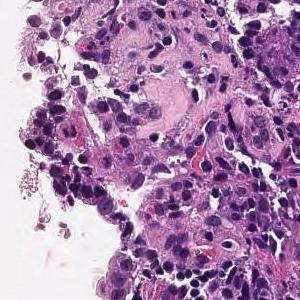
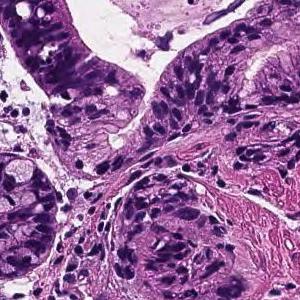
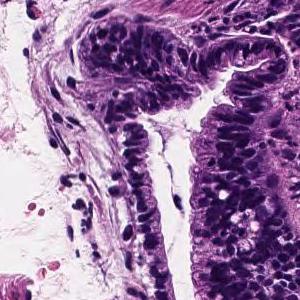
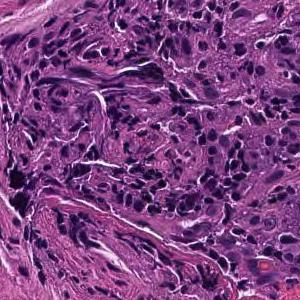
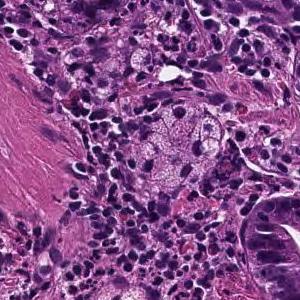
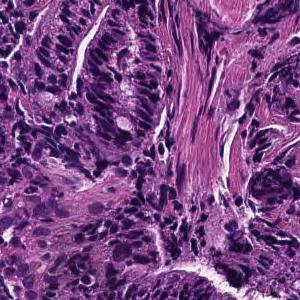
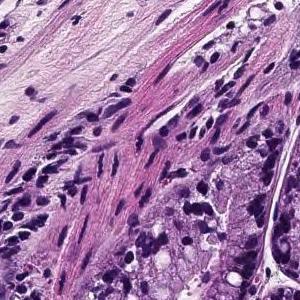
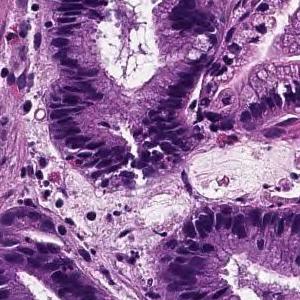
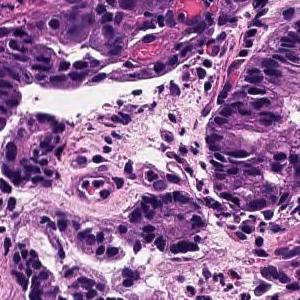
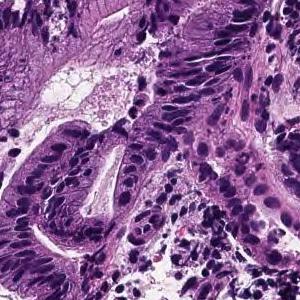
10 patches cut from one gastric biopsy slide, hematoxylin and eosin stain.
Report on the slide these tiles come from. The report describes the whole slide, diagnosis included: not every finding it names need appear in these tiles, which may also show non-tumor tissue.
From the superficial epithelium to the muscularis mucosae, tumor tissue consisting of medium-sized and irregular glandular ducts infiltrating is observed. Well differentiated tubular adenocarcinoma
